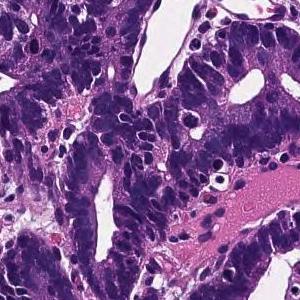
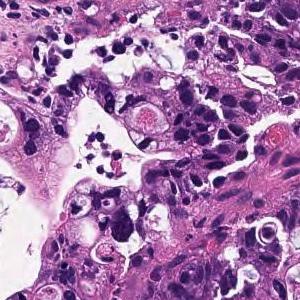
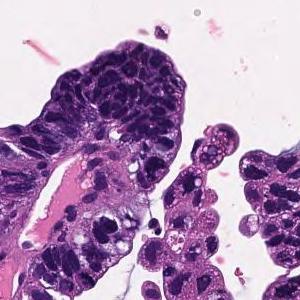
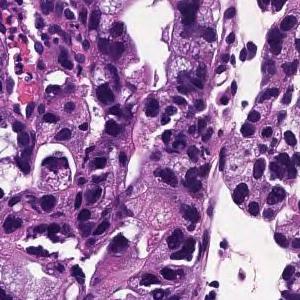
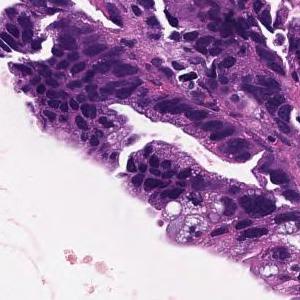
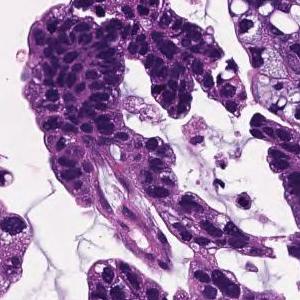
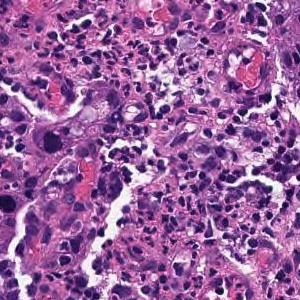
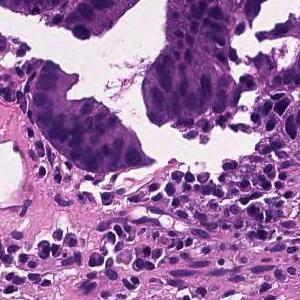
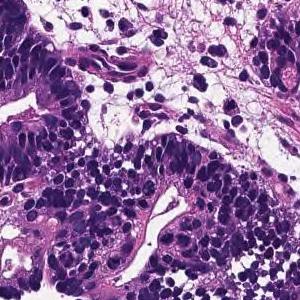
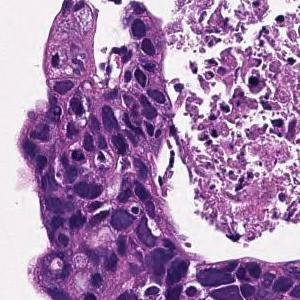
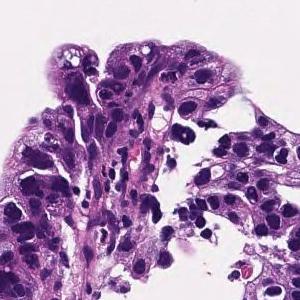
11 image tiles from a single gastric biopsy slide; each 300 × 300 pixels; H&E.
Pathology report for the slide these tiles were cut from. The report and the diagnosis describe the slide as a whole, so these tiles may not show every feature named and may include non-tumor tissue.
In the superficial epithelium, tumor tissue that invades by forming medium-sized to small, irregular ducts is observed. moderately differentiated tubular adenocarcinoma.
